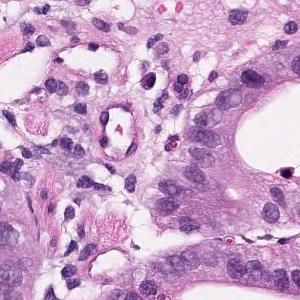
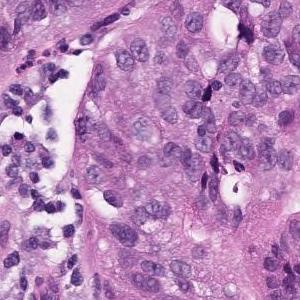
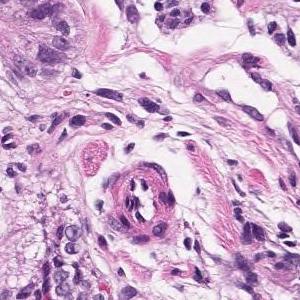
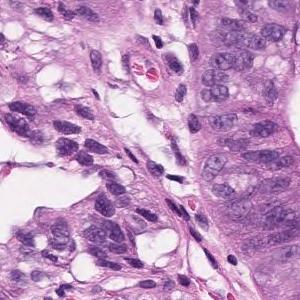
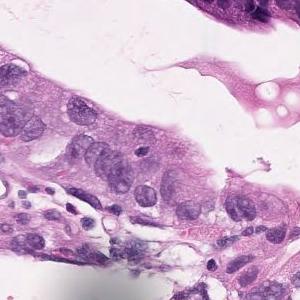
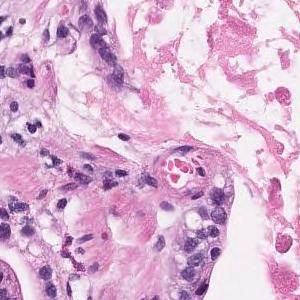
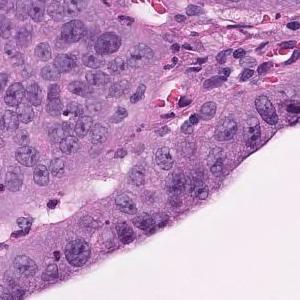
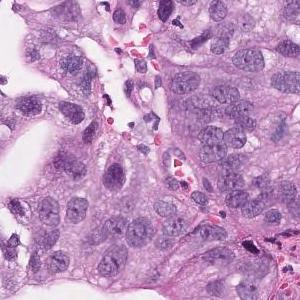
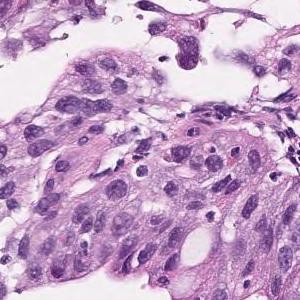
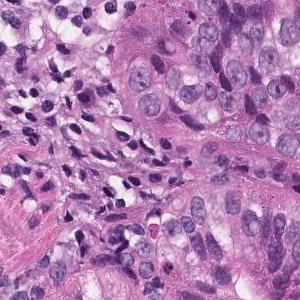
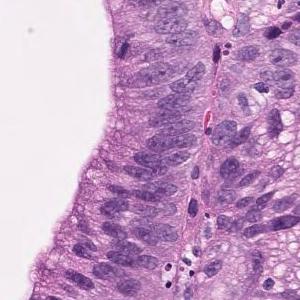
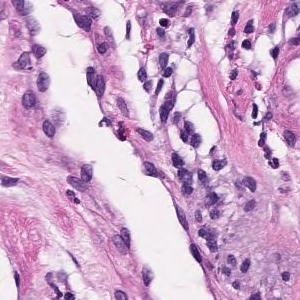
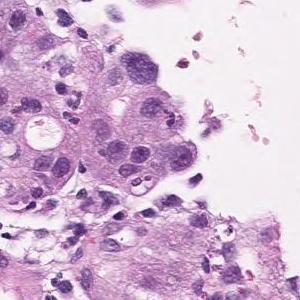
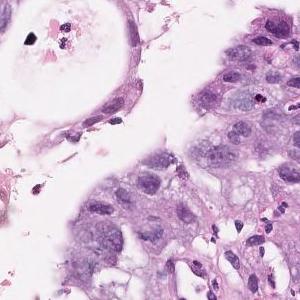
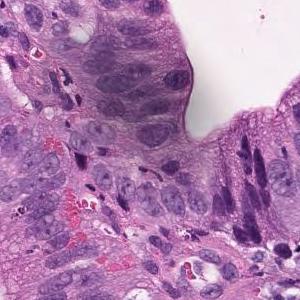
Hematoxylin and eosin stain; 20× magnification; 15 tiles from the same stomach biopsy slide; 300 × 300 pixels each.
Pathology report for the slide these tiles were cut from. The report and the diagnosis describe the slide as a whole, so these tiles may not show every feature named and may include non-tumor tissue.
On the superficial epithelium, tumor tissue consisting of medium to small irregular tubules partially fused and proliferated is observed. Well differentiated tubular adenocarcinoma
